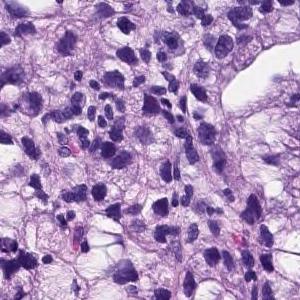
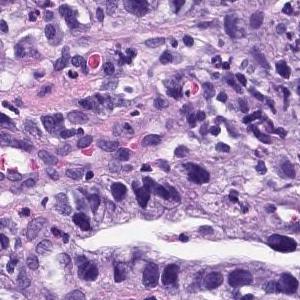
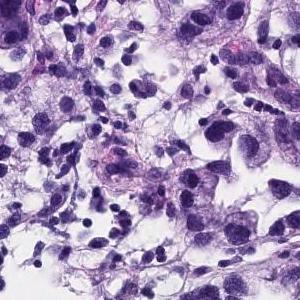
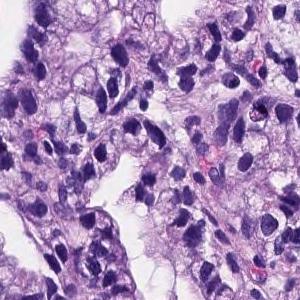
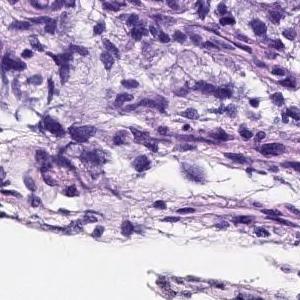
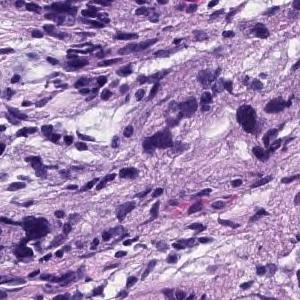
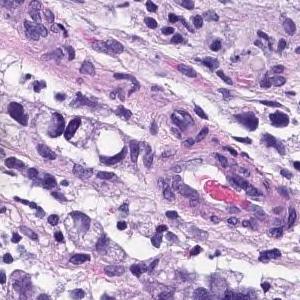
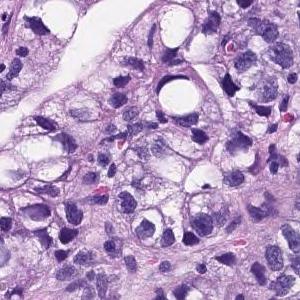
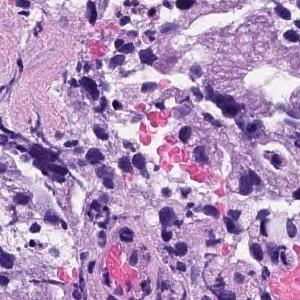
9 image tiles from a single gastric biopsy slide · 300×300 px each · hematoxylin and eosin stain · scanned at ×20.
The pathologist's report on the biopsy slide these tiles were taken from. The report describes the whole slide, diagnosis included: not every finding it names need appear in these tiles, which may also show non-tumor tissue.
Medium to small, irregular glandular ducts are formed in the superficial epithelium, and in some cases, the glandular ducts are fused to show solid alveolar lesions and infiltrating tumor tissue is observed. Poorly differentiated adenocarcinoma, Moderately differentiated adenocarcinoma.
Labeled in the dataset as moderately differentiated tubular adenocarcinoma.
